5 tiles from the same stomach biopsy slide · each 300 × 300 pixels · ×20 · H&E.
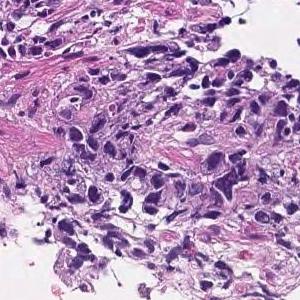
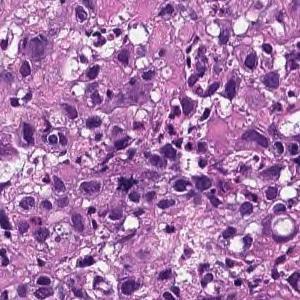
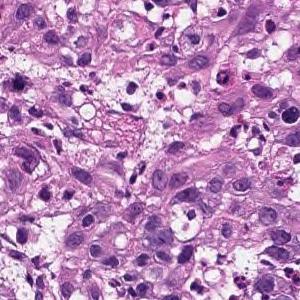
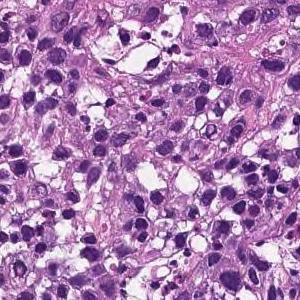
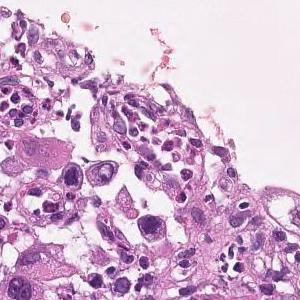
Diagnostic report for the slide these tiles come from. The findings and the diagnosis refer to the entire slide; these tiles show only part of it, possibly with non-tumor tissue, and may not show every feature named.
The superficial epithelium shows a large sheet-like shape, and some tumor tissue infiltrates with small irregular ducts. Poorly differentiated adenocarcinoma, solid-type
Classified as poorly differentiated adenocarcinoma, solid type (Japanese Classification of Gastric Carcinoma). The WHO 2019 equivalent is tubular adenocarcinoma, poorly differentiated.
